H&E stain; 6 image tiles from a single gastric biopsy slide.
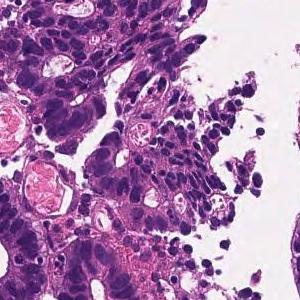
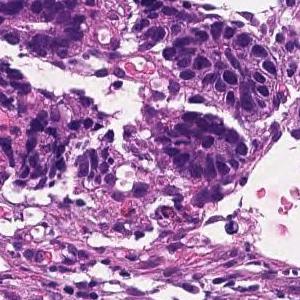
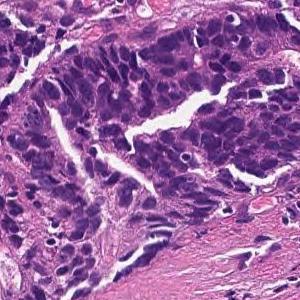
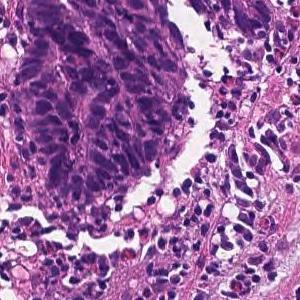
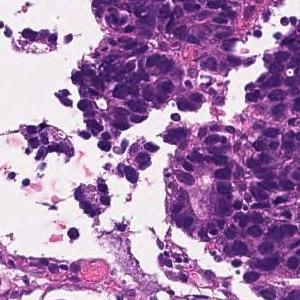
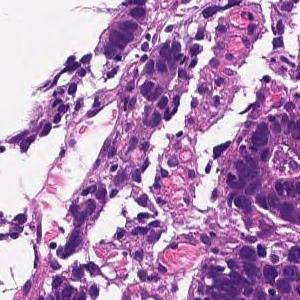
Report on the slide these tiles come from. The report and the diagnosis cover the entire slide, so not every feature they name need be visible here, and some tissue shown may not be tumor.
In the superficial epithelium, tumor tissue that invades by forming medium-sized to small, irregular ducts is observed. Moderately differentiated adenocarcinoma (moderately differentiated tubular adenocarcinoma).
Subtype: Moderately differentiated tubular adenocarcinoma.
